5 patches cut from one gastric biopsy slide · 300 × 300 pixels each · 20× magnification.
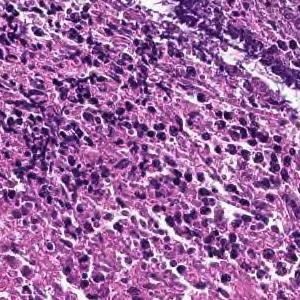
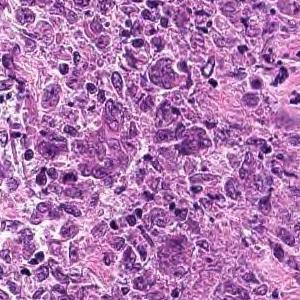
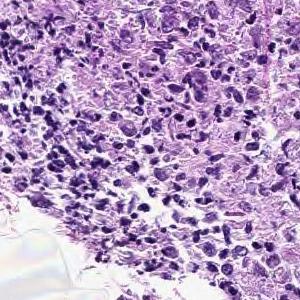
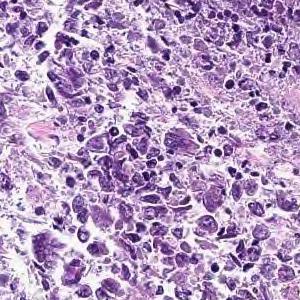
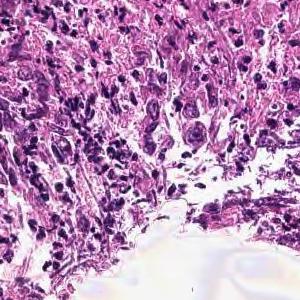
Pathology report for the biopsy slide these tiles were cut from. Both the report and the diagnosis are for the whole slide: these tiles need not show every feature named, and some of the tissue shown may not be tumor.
Cancers with polygonal nuclei do not show glandular formation and are densely, in part, cord-like and proliferate. Poorly differentiated adenocarcinoma
Subtype: Poorly differentiated adenocarcinoma, non-solid type.
"Non-solid type" is a category of the Japanese Classification of Gastric Carcinoma.
